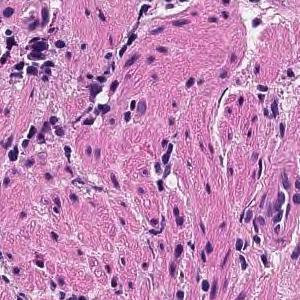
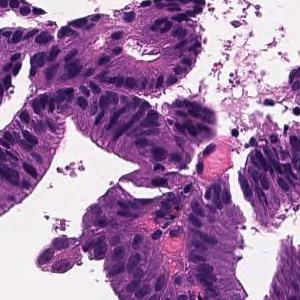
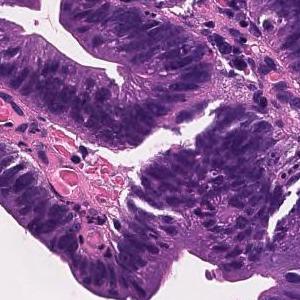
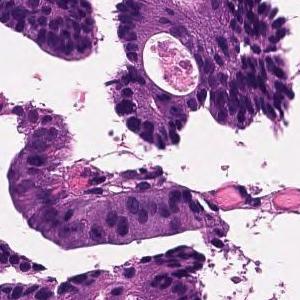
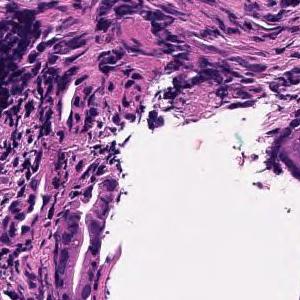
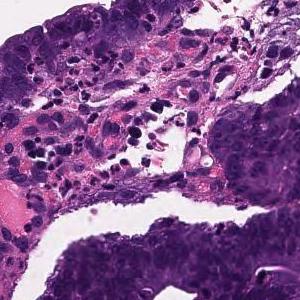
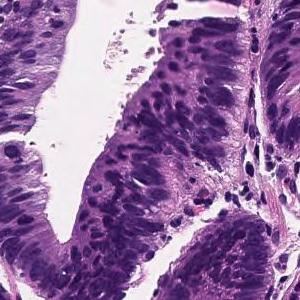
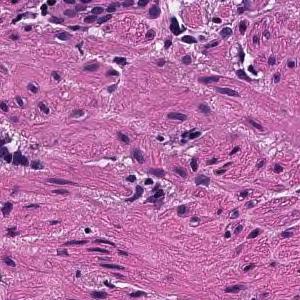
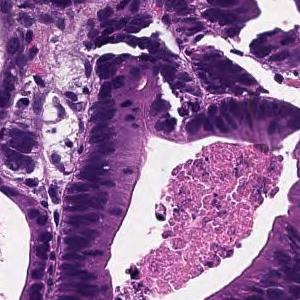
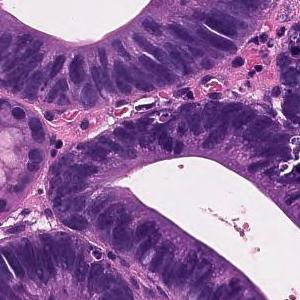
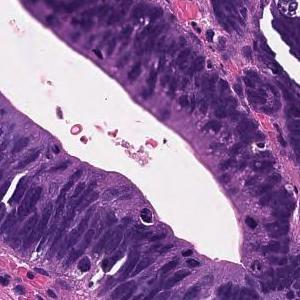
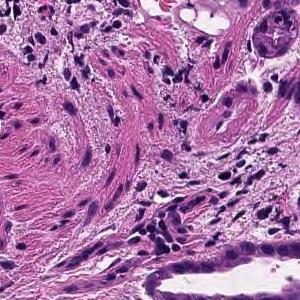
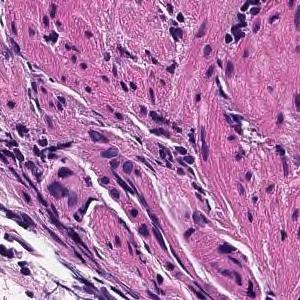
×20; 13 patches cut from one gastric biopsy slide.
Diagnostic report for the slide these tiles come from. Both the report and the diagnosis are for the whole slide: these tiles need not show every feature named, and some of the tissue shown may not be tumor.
Tumor tissue consisting of large papillary structures is found in the superficial epithelium. Papillary adenocarcinoma.
